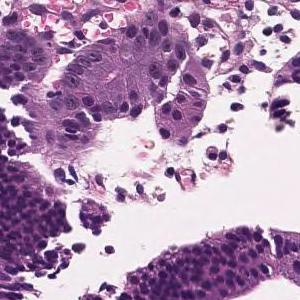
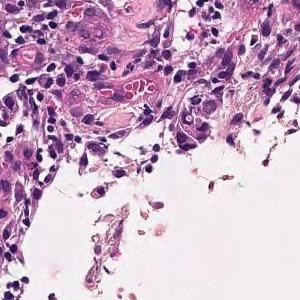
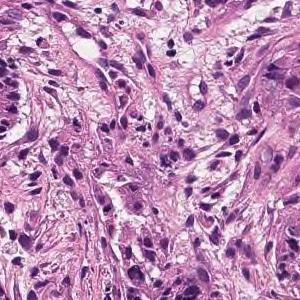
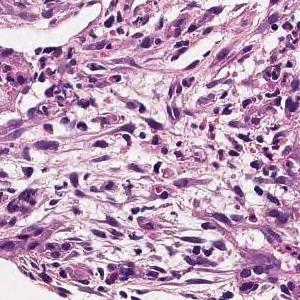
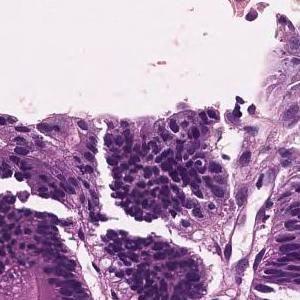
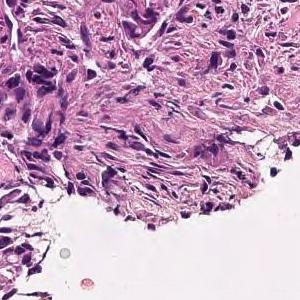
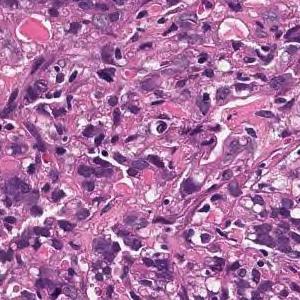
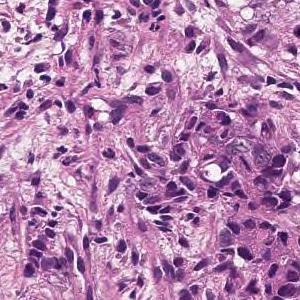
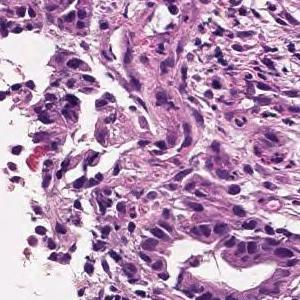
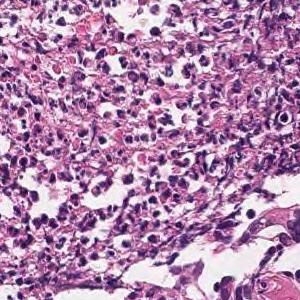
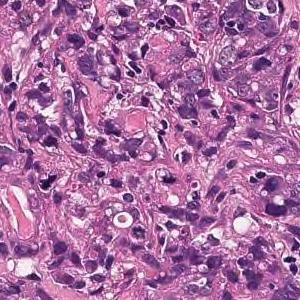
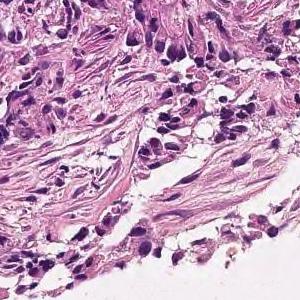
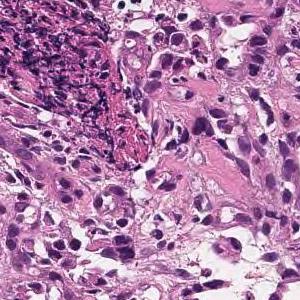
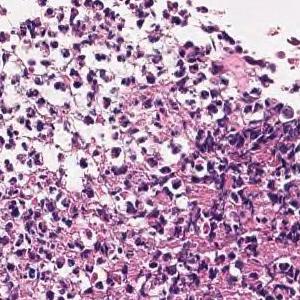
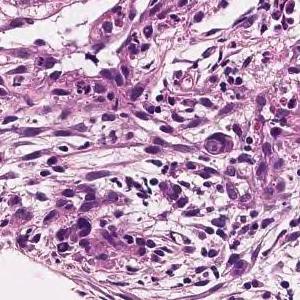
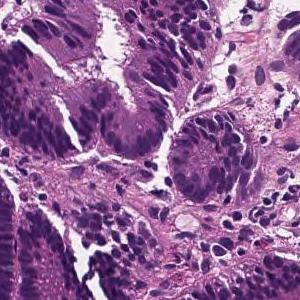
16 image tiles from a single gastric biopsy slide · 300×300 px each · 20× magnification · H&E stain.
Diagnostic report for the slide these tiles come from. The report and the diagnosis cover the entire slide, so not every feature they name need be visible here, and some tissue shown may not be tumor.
Tumor tissue consisting of cord-like or small, irregular glandular ducts fused and infiltrated is observed in the superficial epithelium. Poorly differentiated adenocarcinoma, non-solid type
"Non-solid type" is a category of the Japanese Classification of Gastric Carcinoma.
